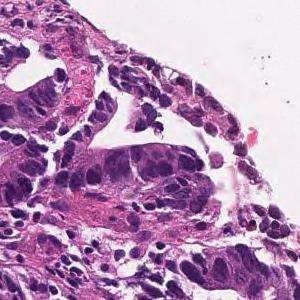
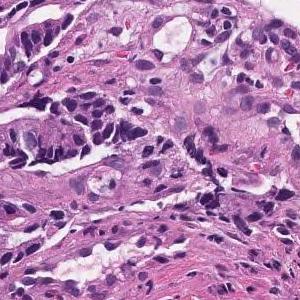
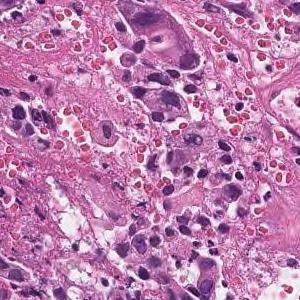
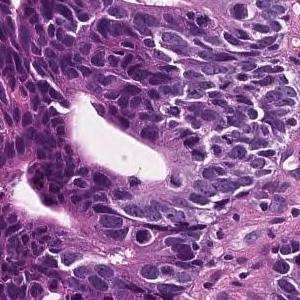
×20, H&E stain, 4 tiles cut from one stomach biopsy slide, 300 × 300 pixels each.
The pathologist's report on the biopsy slide these tiles were taken from. The findings and the diagnosis refer to the entire slide; these tiles show only part of it, possibly with non-tumor tissue, and may not show every feature named.
In the superficial epithelium, tumor tissue that invades by forming medium-sized to small, irregular ducts is observed. moderately differentiated tubular adenocarcinoma.
